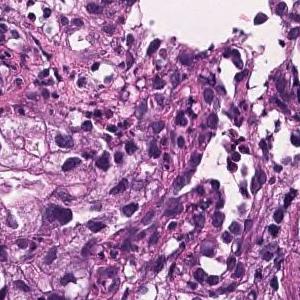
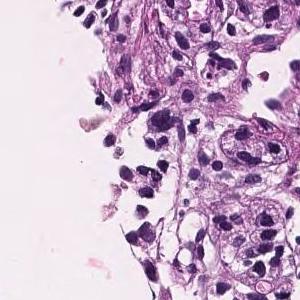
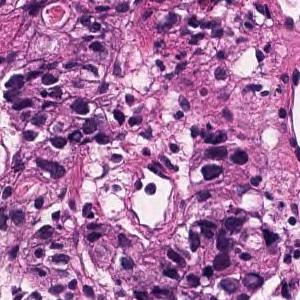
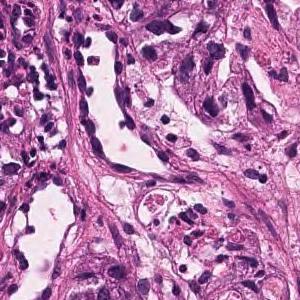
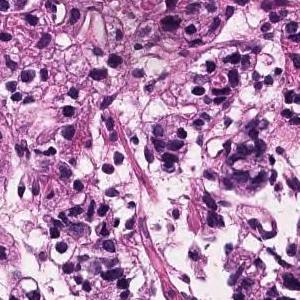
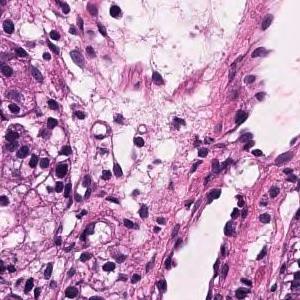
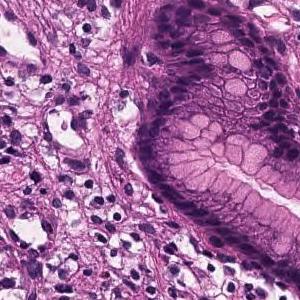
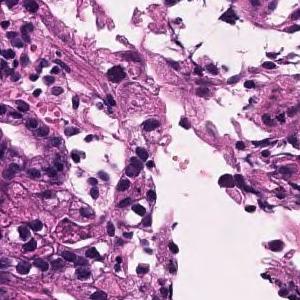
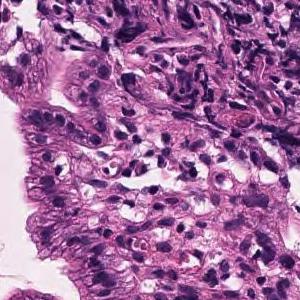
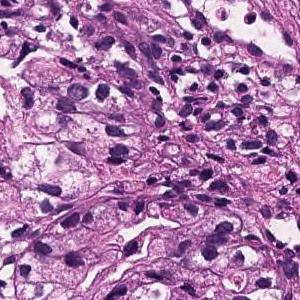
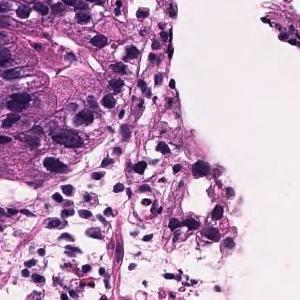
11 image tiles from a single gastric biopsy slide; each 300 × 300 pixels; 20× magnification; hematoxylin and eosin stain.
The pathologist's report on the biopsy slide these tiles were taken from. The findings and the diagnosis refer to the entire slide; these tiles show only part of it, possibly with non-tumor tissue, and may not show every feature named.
Medium to small, irregular glandular ducts are formed in the superficial epithelium, and in some cases, the glandular ducts are fused to show solid alveolar lesions and infiltrating tumor tissue is observed. Moderately to poorly differentiated adenocarcinoma.
